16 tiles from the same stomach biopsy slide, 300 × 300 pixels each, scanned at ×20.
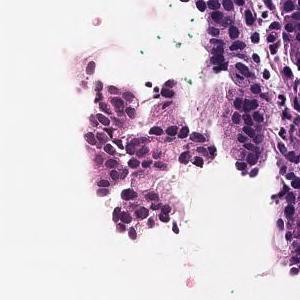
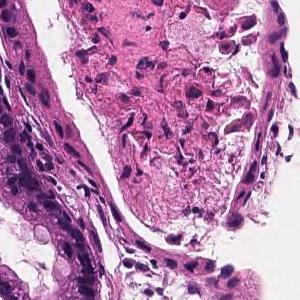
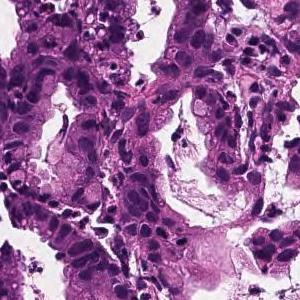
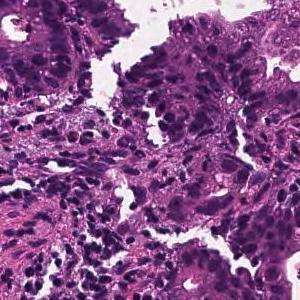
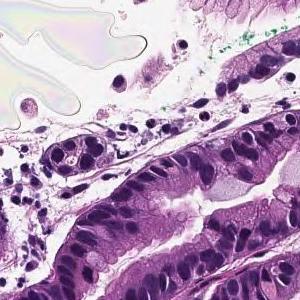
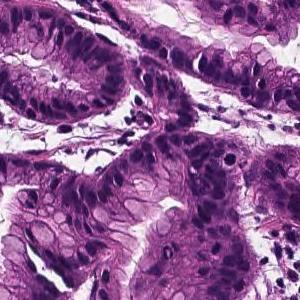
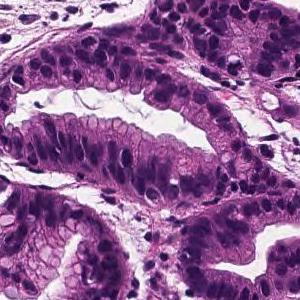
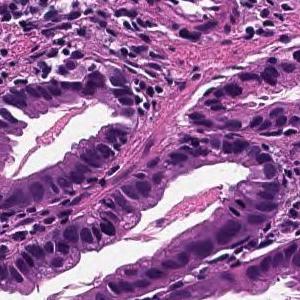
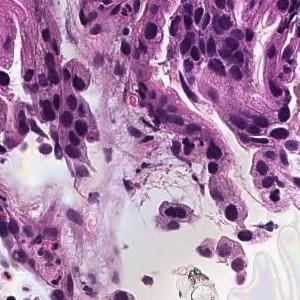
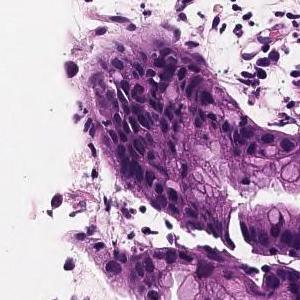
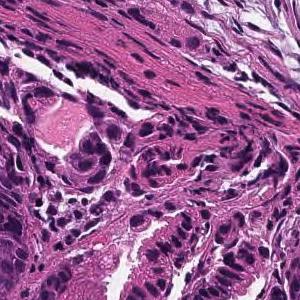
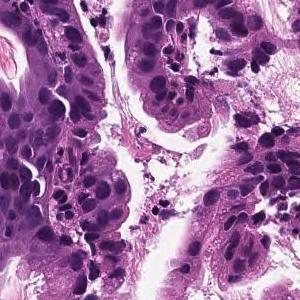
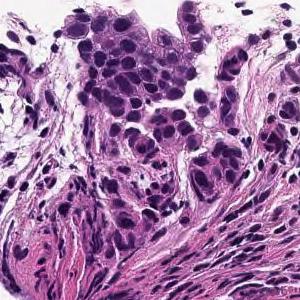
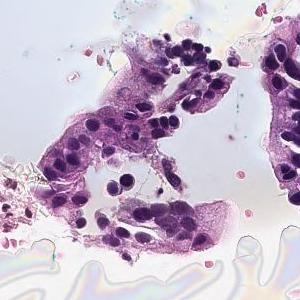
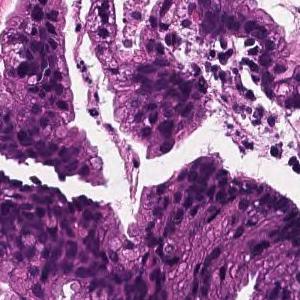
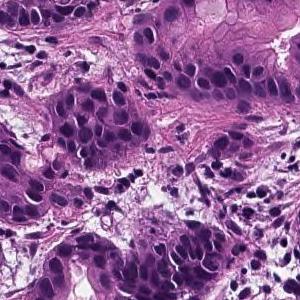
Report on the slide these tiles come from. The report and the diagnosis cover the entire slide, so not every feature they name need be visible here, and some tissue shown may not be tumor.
Tumor cells are large, highly columnar, large club-shaped nuclei, and are associated with chromatin aggregation. Papillary adenocarcinoma.
